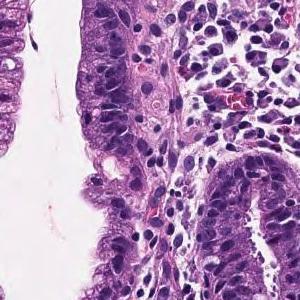
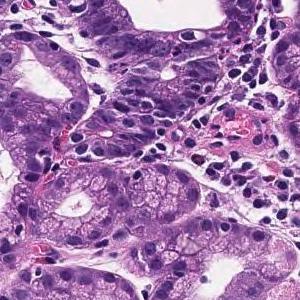
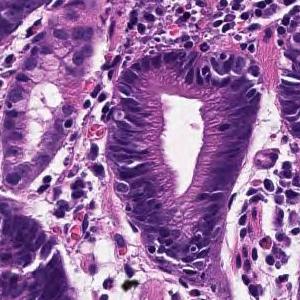
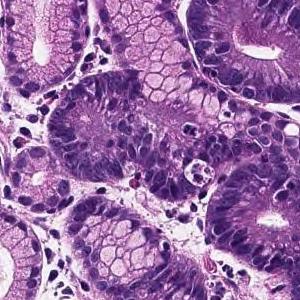
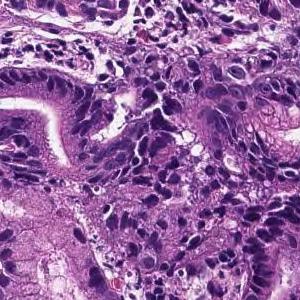
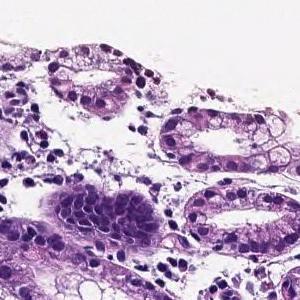
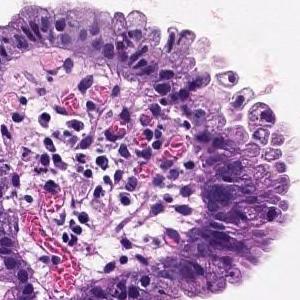
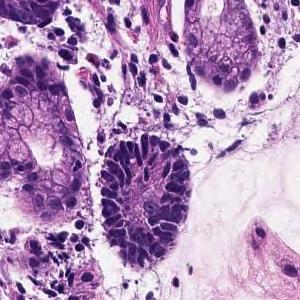
8 tiles from the same stomach biopsy slide · 300×300 px each · 20× magnification · H&E stain.
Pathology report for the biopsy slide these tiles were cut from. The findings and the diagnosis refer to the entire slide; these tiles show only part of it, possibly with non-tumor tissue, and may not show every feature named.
From the superficial epithelium to the muscularis mucosae, tumor tissue consisting of medium-sized and irregular glandular ducts infiltrating is observed. Well differentiated tubular adenocarcinoma
